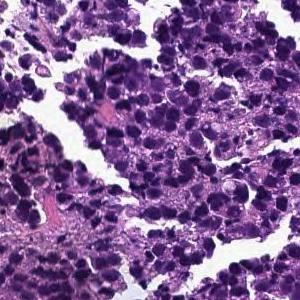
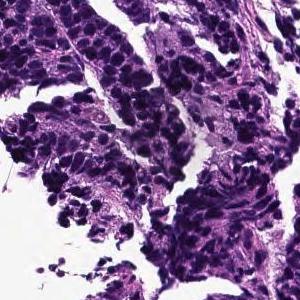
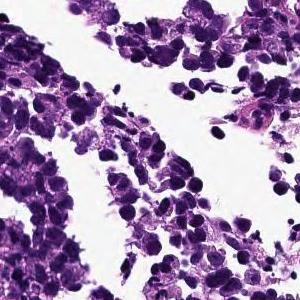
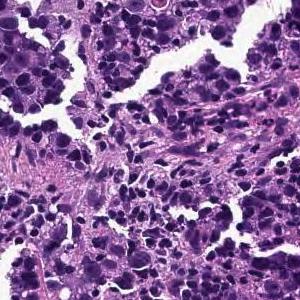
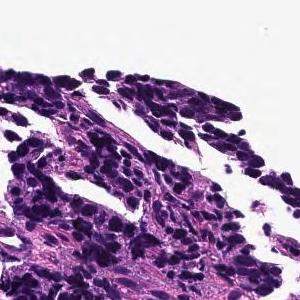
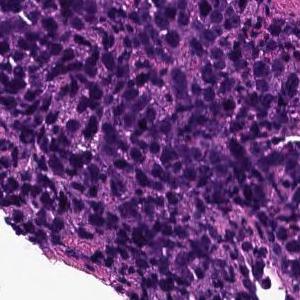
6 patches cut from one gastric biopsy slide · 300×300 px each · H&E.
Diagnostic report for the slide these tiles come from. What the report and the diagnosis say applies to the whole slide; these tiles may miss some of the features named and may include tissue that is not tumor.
The superficial epithelium shows large alveolar or sheet-like forms, and some tumor tissue infiltrates with small irregular ducts. Poorly differentiated adenocarcinoma, solid-type
Histologic type: Poorly differentiated adenocarcinoma, solid type, a category of the Japanese Classification of Gastric Carcinoma; in the WHO 2019 classification it is tubular adenocarcinoma, poorly differentiated.
